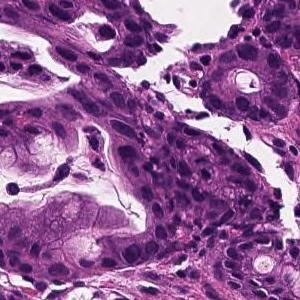
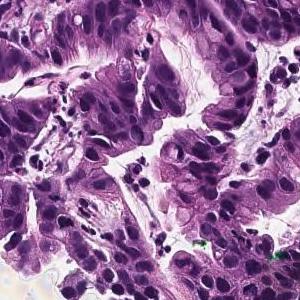
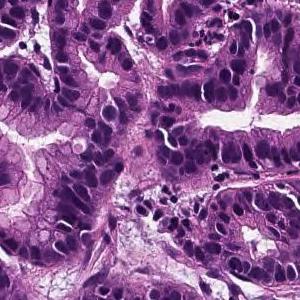
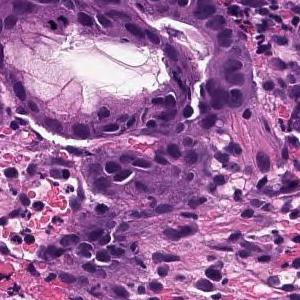
4 image tiles from a single gastric biopsy slide · 300 × 300 pixels each · H&E · scanned at ×20.
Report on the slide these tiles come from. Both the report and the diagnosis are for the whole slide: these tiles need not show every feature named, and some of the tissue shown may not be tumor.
Tumor cells are large, highly columnar, large club-shaped nuclei, and are associated with chromatin aggregation. Papillary adenocarcinoma.
